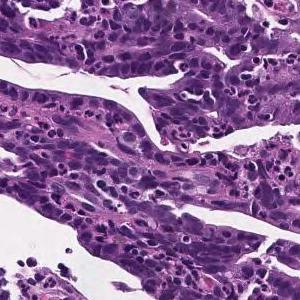
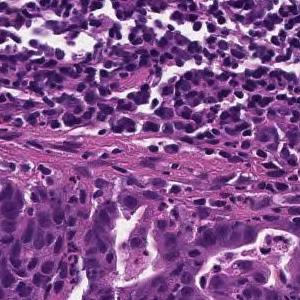
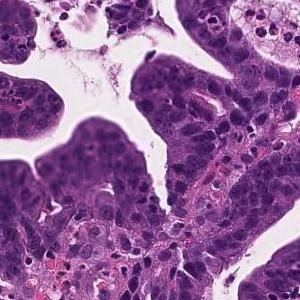
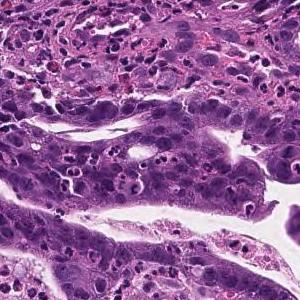
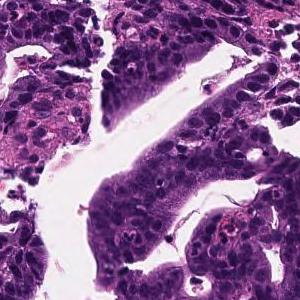
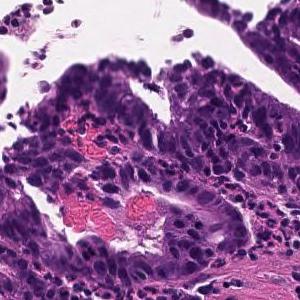
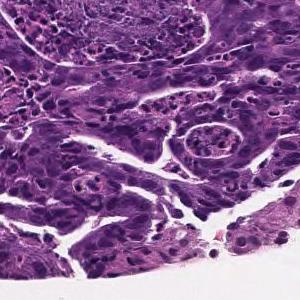
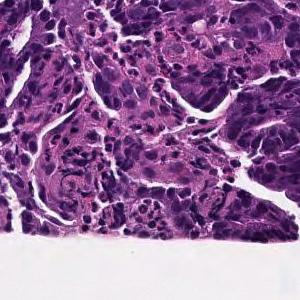
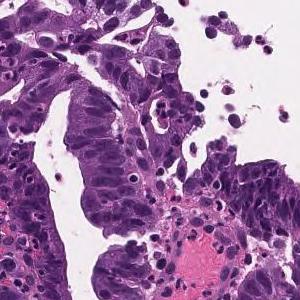
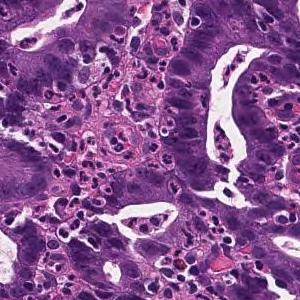
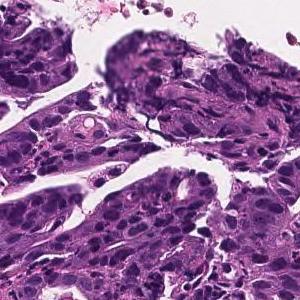
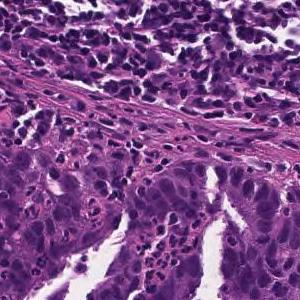
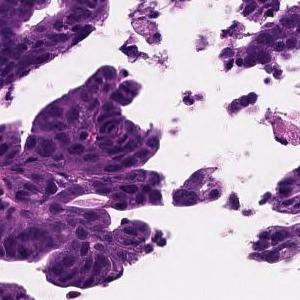
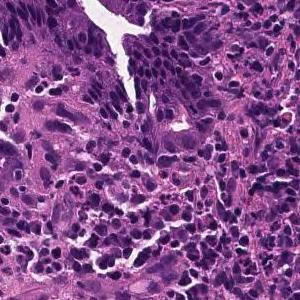
Hematoxylin and eosin stain · 20× magnification · 14 tiles cut from one stomach biopsy slide.
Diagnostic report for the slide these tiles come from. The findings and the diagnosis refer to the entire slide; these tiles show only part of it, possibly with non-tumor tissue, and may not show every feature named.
Tumor cells are large, highly columnar, large club-shaped nuclei, and are associated with chromatin aggregation. Papillary adenocarcinoma.
